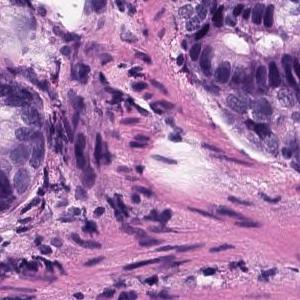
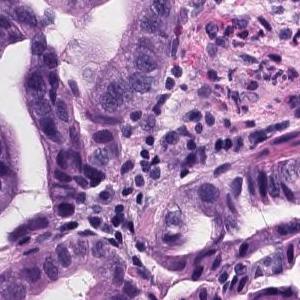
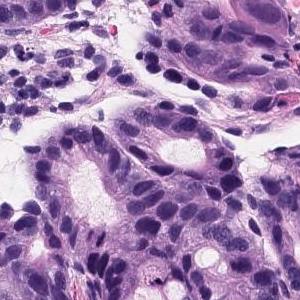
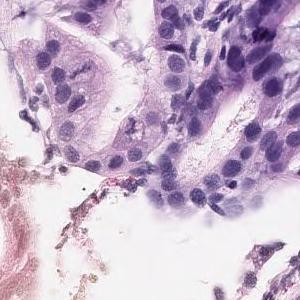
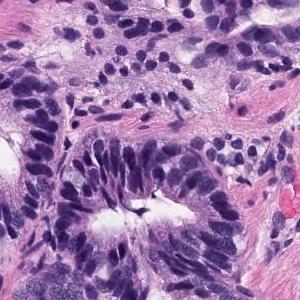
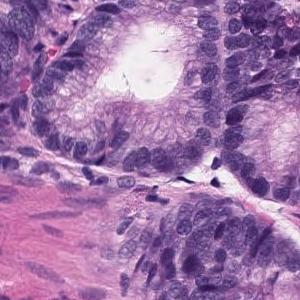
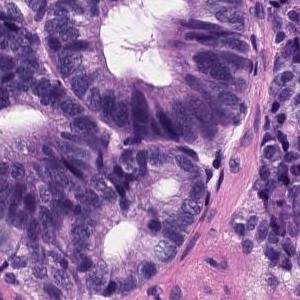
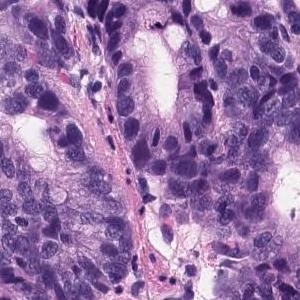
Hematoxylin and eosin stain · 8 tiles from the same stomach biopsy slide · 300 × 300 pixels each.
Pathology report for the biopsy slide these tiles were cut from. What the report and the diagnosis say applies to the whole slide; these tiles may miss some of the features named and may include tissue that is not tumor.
Tumor tissue consisting of medium-sized and irregular ducts is observed infiltrating in the superficial epithelium. Tumor cells are highly columnar, with nuclei aligned basolaterally and polarized. Well differentiated tubular adenocarcinoma.
